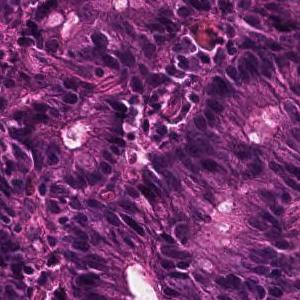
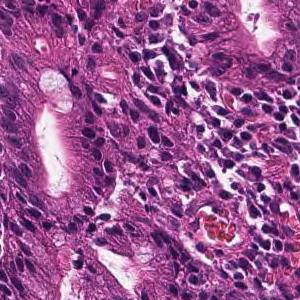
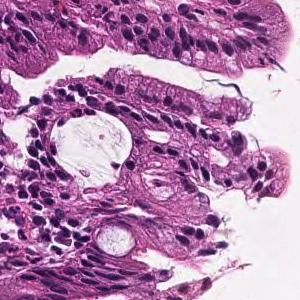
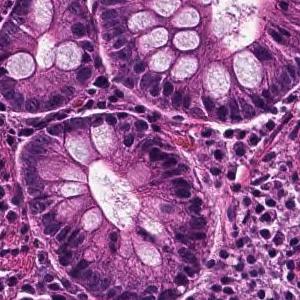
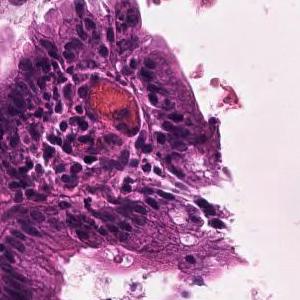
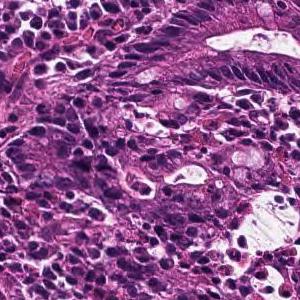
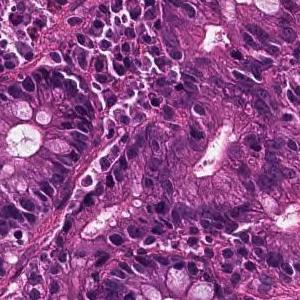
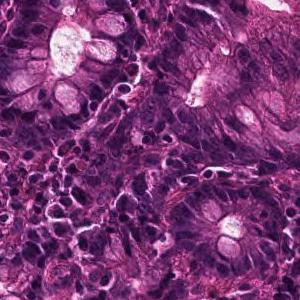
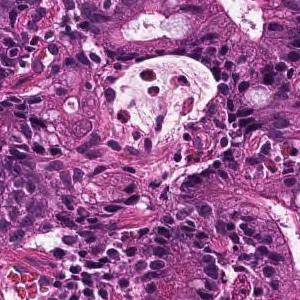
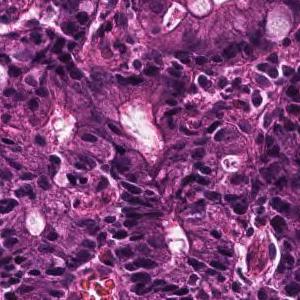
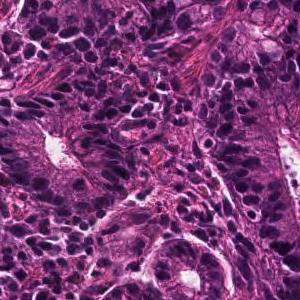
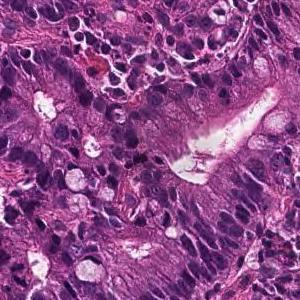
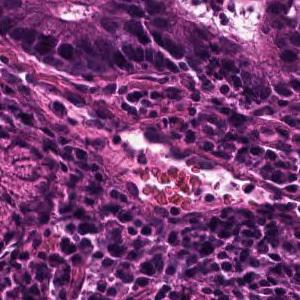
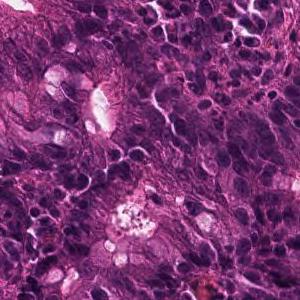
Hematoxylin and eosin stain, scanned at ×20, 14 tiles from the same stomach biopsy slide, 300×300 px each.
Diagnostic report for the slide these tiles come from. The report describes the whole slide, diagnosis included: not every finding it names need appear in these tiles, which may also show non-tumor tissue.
In the superficial epithelium, tumor tissue that invades by forming medium-sized to small, irregular ducts is observed. moderately differentiated tubular adenocarcinoma.
